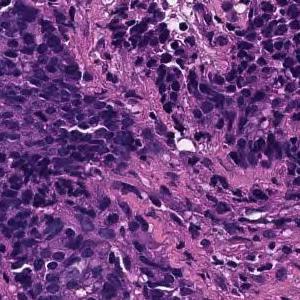
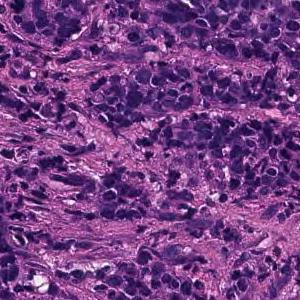
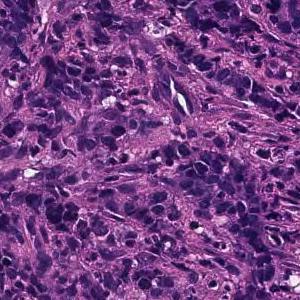
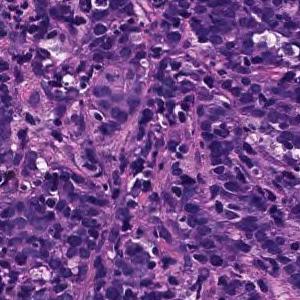
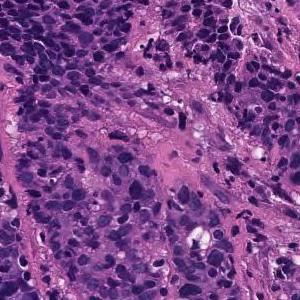
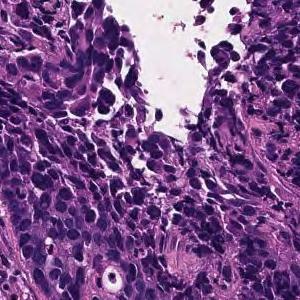
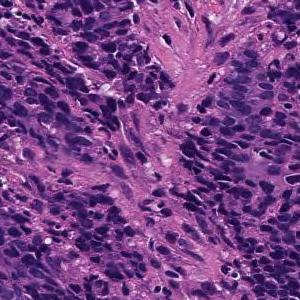
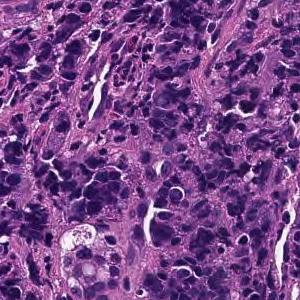
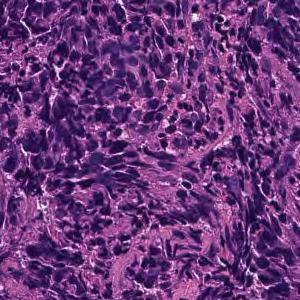
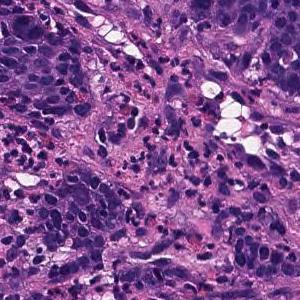
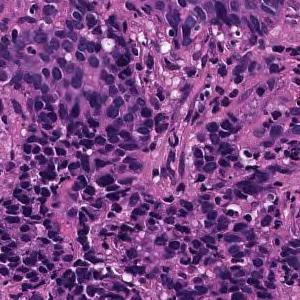
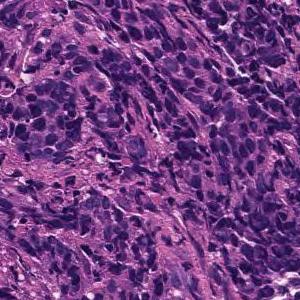
12 tiles cut from one stomach biopsy slide; H&E stain.
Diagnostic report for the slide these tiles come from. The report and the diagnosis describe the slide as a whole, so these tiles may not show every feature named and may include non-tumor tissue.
Tumor tissue consisting of cord-like or small, irregular glandular ducts fused and infiltrated is observed in the superficial epithelium. Poorly differentiated adenocarcinoma, non-solid type
The term "non-solid type" comes from the Japanese Classification of Gastric Carcinoma.
